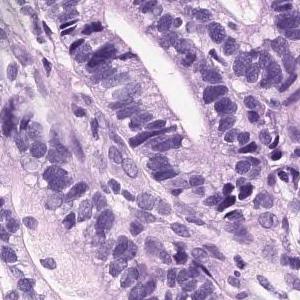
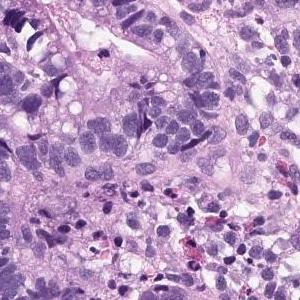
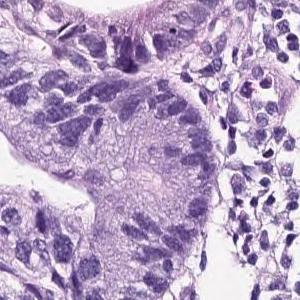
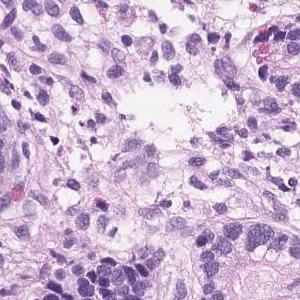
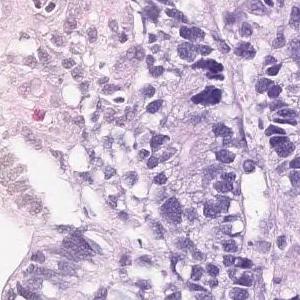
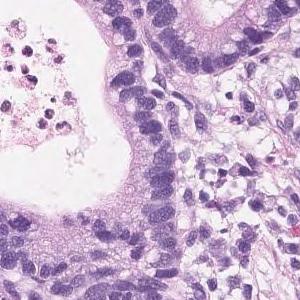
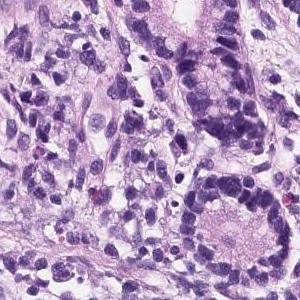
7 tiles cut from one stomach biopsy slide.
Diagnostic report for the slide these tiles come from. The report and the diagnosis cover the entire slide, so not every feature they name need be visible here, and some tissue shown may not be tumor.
Hyperplasia of atypical epithelial cells with swelling of the nucleus is observed. Moderately diffentiated tubular adenocarcinoma
Histologic type: Moderately differentiated tubular adenocarcinoma.
